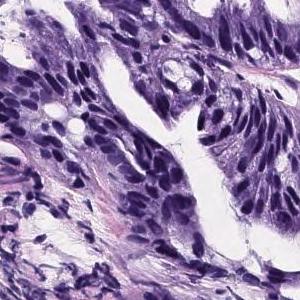
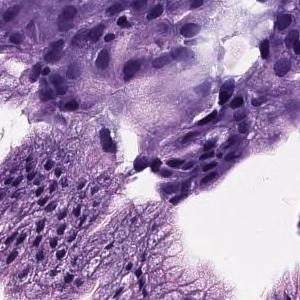
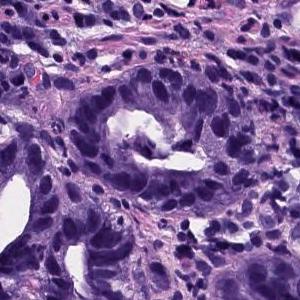
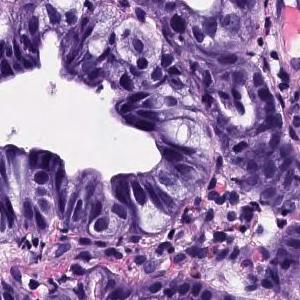
4 patches cut from one gastric biopsy slide · H&E · scanned at ×20.
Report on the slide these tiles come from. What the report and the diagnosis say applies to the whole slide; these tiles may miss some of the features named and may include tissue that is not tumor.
Large atypical cells which form medium to large ducts are proliferating. Well differentiated adenocarcinoma (well differentiated tubular adenocarcinoma)
Classified as well differentiated tubular adenocarcinoma.
